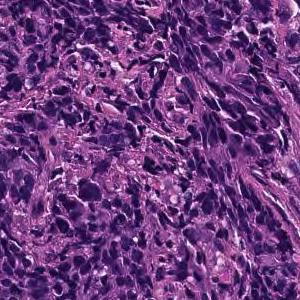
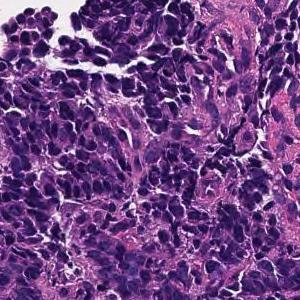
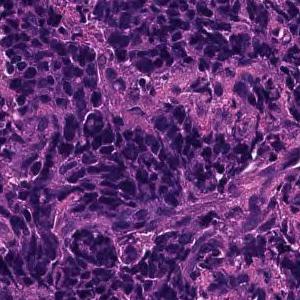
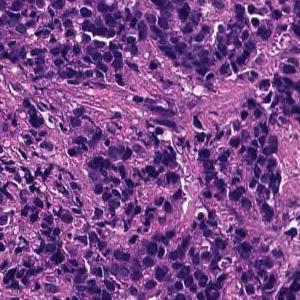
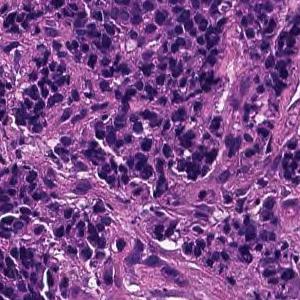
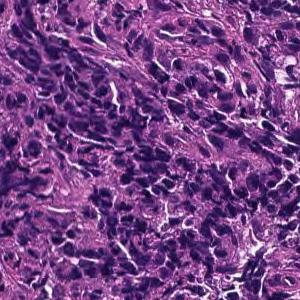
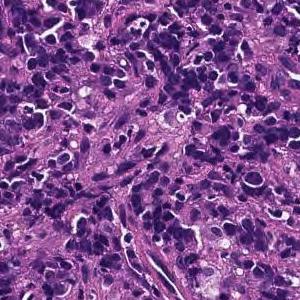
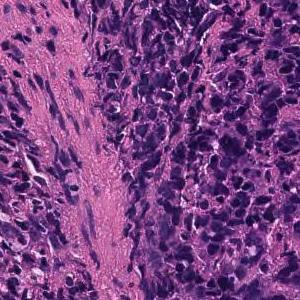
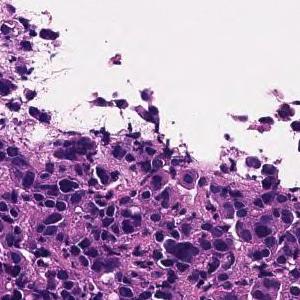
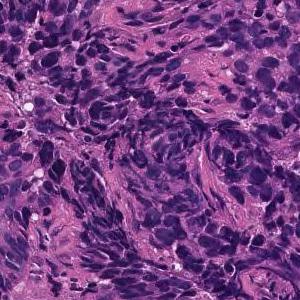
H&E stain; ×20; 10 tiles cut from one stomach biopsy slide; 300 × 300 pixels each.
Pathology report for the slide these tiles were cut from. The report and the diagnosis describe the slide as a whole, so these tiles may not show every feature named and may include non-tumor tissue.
Tumor tissue consisting of cord-like or small, irregular glandular ducts fused and infiltrated is observed in the superficial epithelium. Poorly differentiated adenocarcinoma, non-solid type
"Non-solid type" is a category of the Japanese Classification of Gastric Carcinoma.
